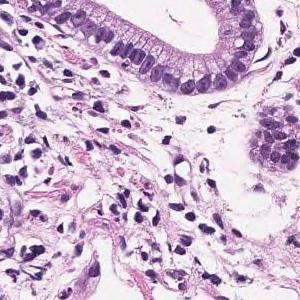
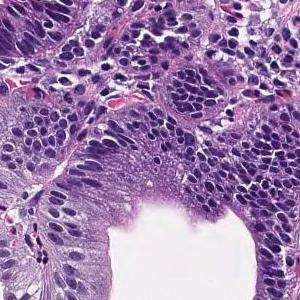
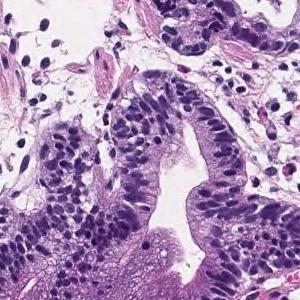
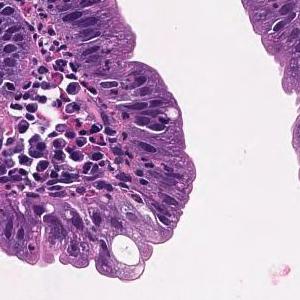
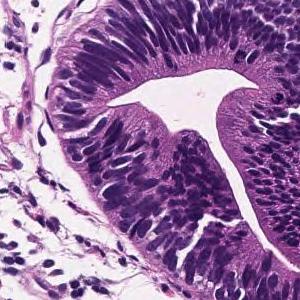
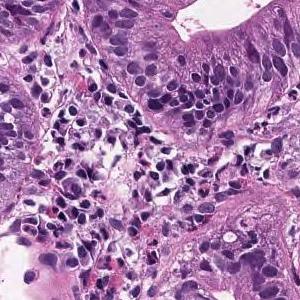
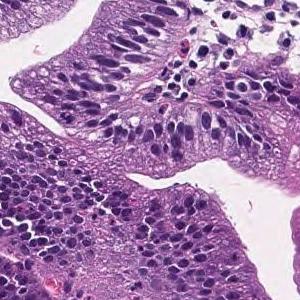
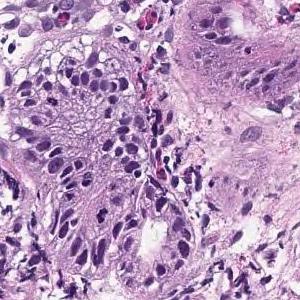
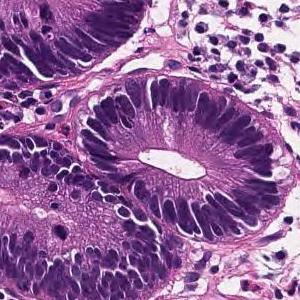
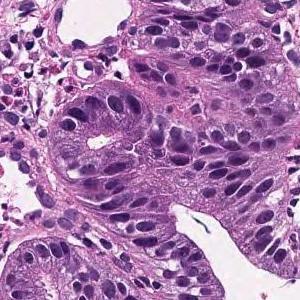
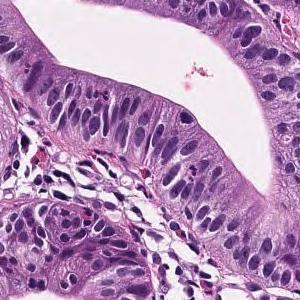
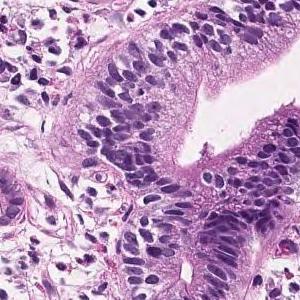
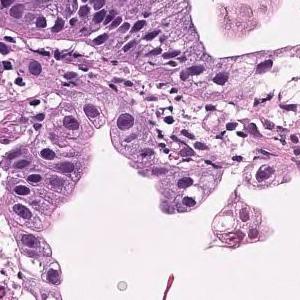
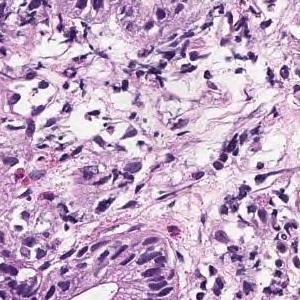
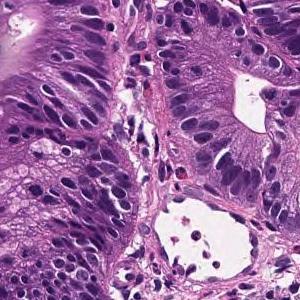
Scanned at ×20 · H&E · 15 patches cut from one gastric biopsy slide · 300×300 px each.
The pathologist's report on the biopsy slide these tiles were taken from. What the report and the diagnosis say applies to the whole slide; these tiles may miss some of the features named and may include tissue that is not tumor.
In the superficial epithelium, tumor tissue that invades by forming medium-sized to small, irregular ducts is observed. Well differentiated tubular adenocarcinoma.
